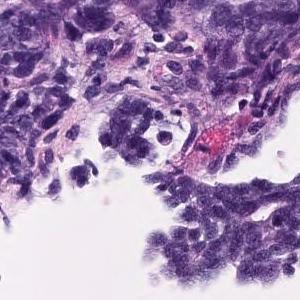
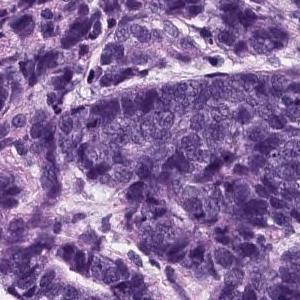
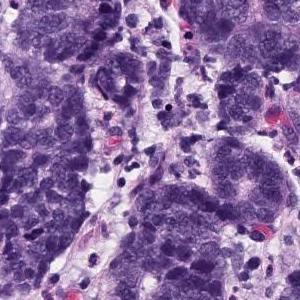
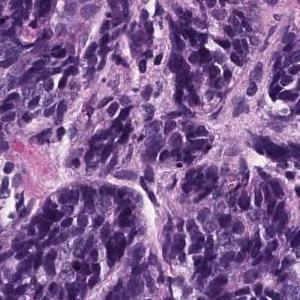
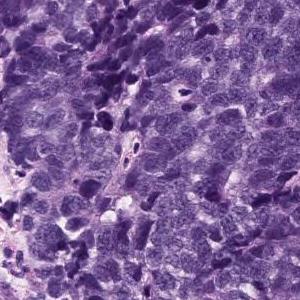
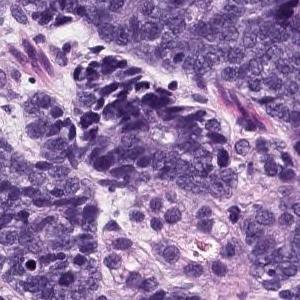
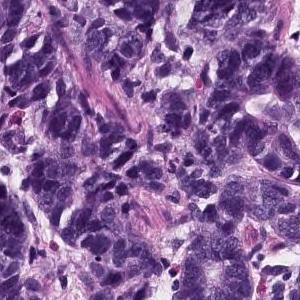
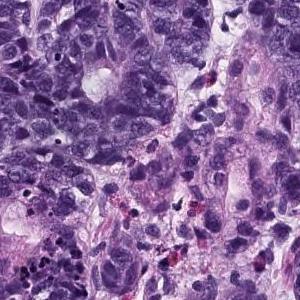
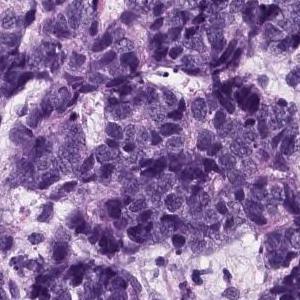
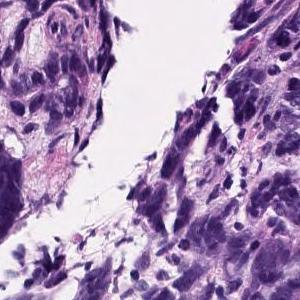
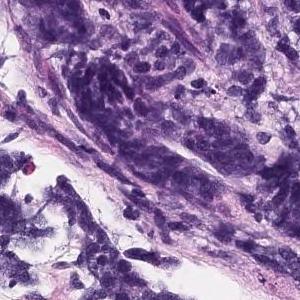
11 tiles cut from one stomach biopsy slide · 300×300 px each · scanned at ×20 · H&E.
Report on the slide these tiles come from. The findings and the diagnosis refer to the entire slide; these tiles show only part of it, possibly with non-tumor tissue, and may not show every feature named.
Group 5, Adenocarcinoma. Moderately to poorly differentiated adenocarcinoma
